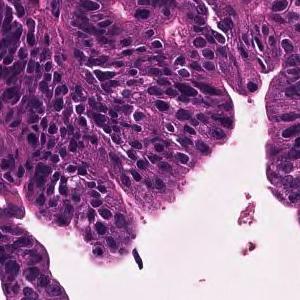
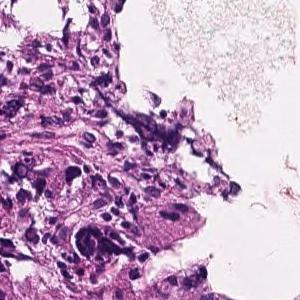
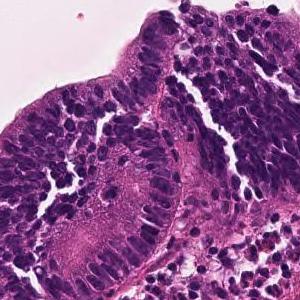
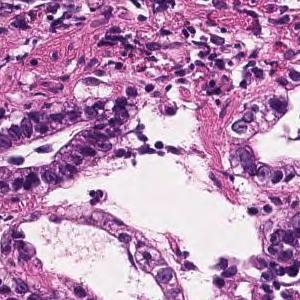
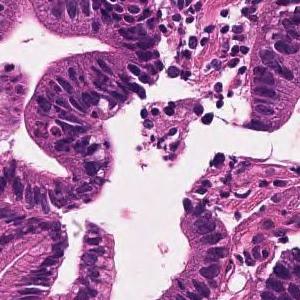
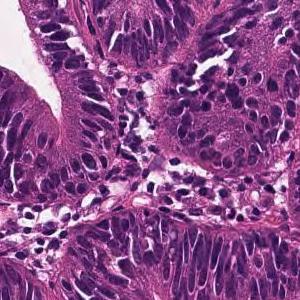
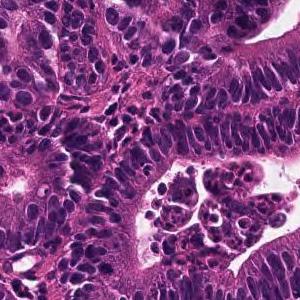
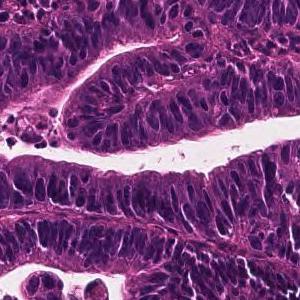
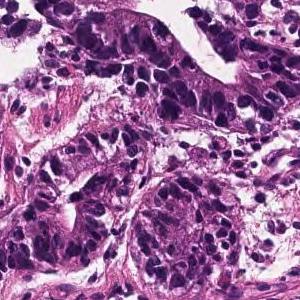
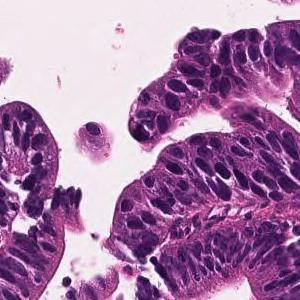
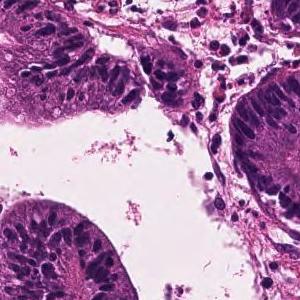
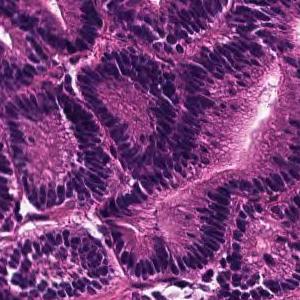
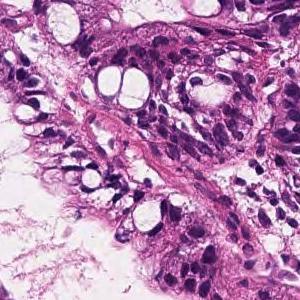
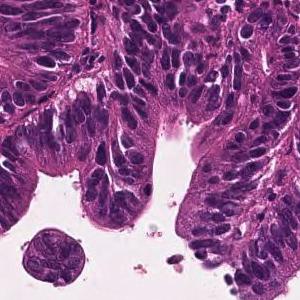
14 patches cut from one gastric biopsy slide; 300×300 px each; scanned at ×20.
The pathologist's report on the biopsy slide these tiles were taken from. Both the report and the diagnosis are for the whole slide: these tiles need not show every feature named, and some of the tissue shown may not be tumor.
A large irregular tubular structure is exhibited in the epithelium, and tumor tissue that partially fuses and infiltrates and proliferates is observed. Large columnar tumor cells exhibit enlarged nucleus, hyperchromatism, and mitotic figures. Well differentiated tubular adenocarcinoma
